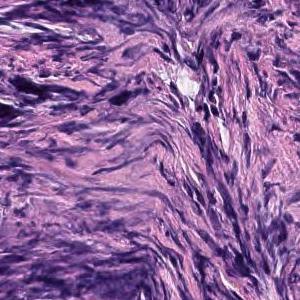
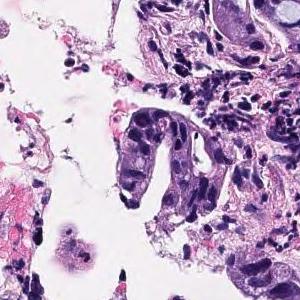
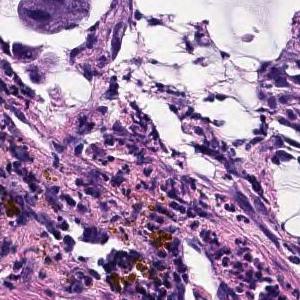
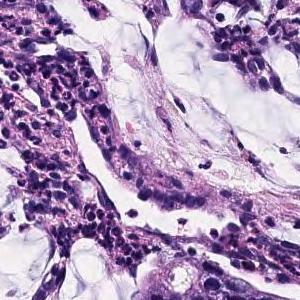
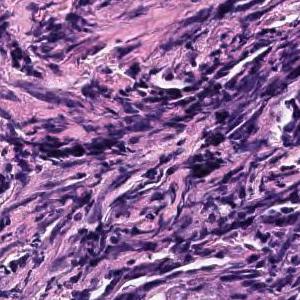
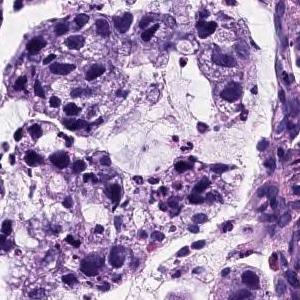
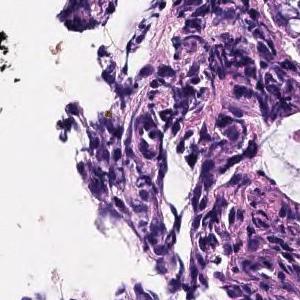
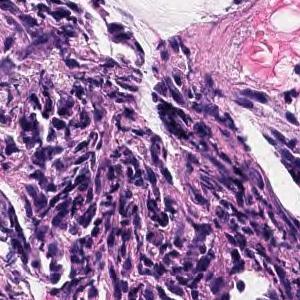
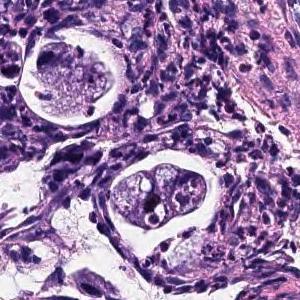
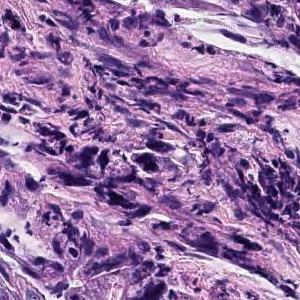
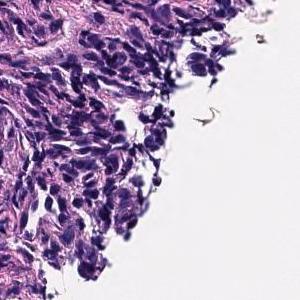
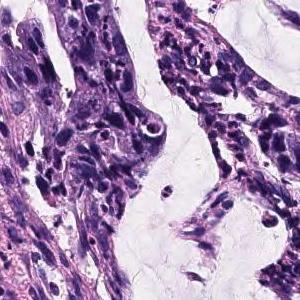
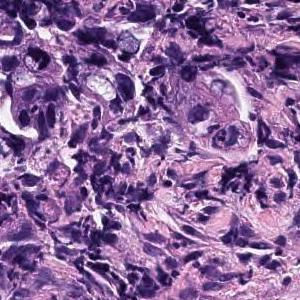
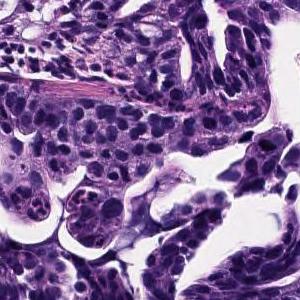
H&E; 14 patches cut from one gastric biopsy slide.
Pathology report for the biopsy slide these tiles were cut from. What the report and the diagnosis say applies to the whole slide; these tiles may miss some of the features named and may include tissue that is not tumor.
The superficial epithelium shows small cord-like infiltrating tumor tissue. Some part of neoplastic cells are signet ring cell type which show single invasion manner. Poorly differentiated adenocarcinoma, non-solid type.
The term "non-solid type" comes from the Japanese Classification of Gastric Carcinoma.
